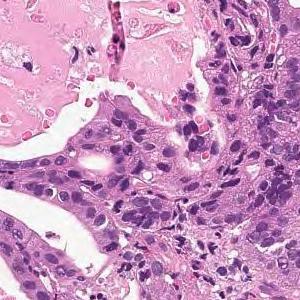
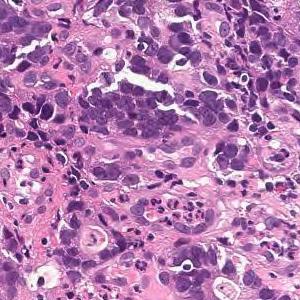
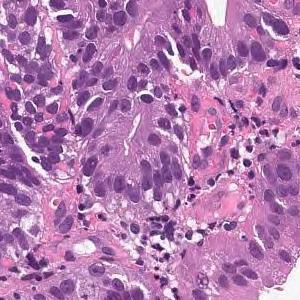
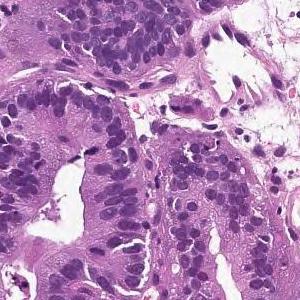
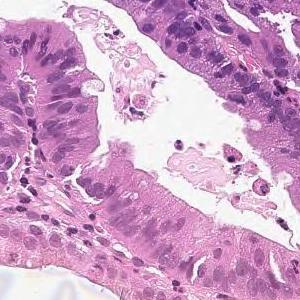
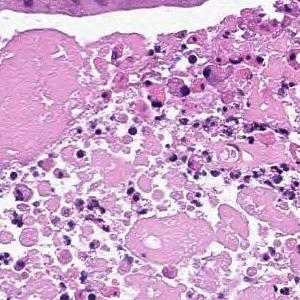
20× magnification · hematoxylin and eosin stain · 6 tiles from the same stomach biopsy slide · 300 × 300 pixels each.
Report on the slide these tiles come from. What the report and the diagnosis say applies to the whole slide; these tiles may miss some of the features named and may include tissue that is not tumor.
From the superficial epithelium to the muscularis mucosae, tumor tissue consisting of medium-sized and irregular glandular ducts infiltrating is observed. Well differentiated tubular adenocarcinoma
